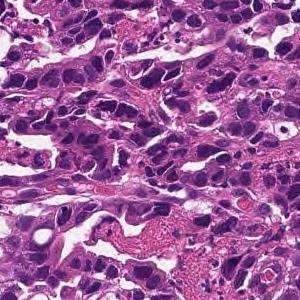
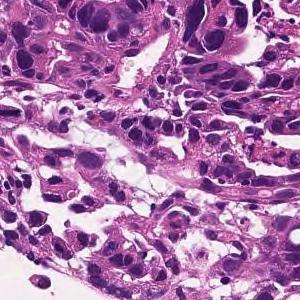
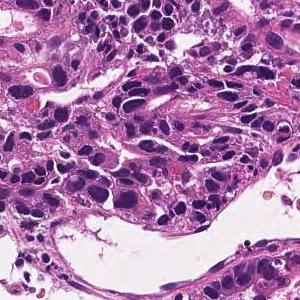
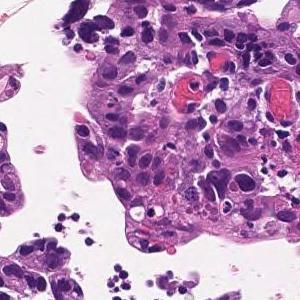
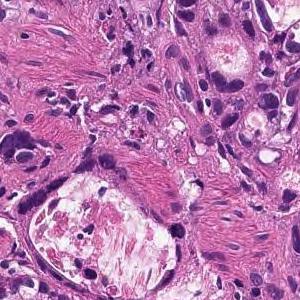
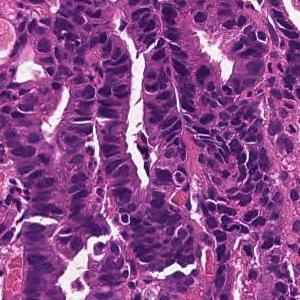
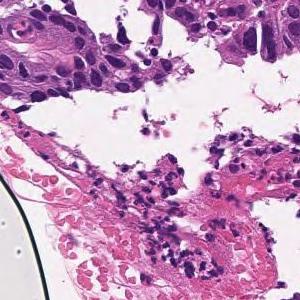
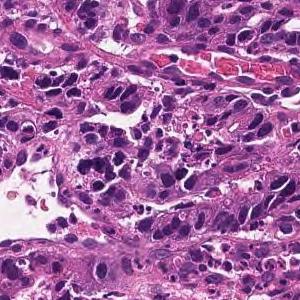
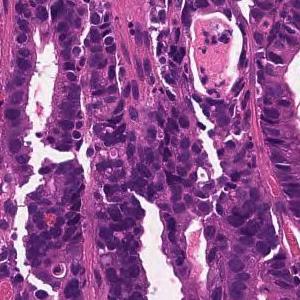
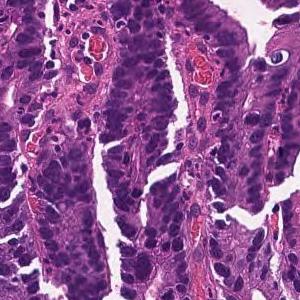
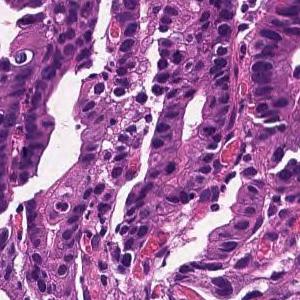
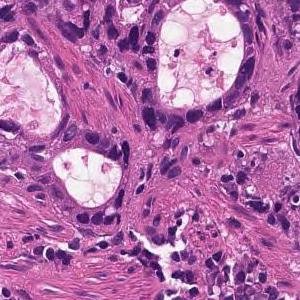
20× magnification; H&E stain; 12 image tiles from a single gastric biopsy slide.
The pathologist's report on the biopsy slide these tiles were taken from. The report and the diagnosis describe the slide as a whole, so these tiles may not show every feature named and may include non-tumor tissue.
In the superficial epithelium, tumor tissue that invades by forming medium-sized to small, irregular ducts is observed. moderately differentiated tubular adenocarcinoma.
